Hematoxylin and eosin stain · 6 tiles from the same stomach biopsy slide · each 300 × 300 pixels.
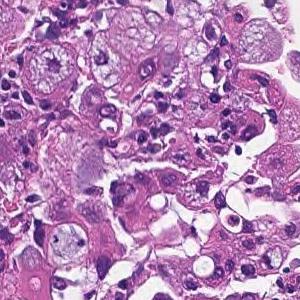
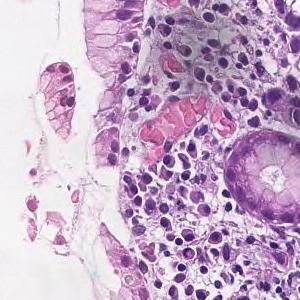
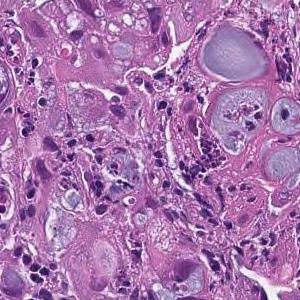
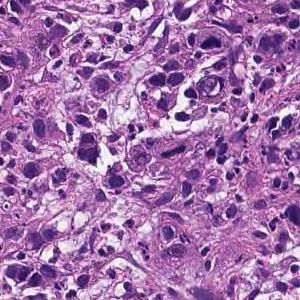
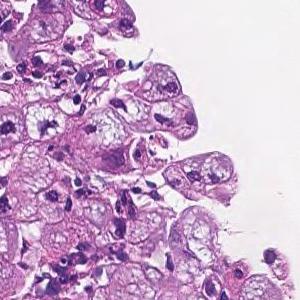
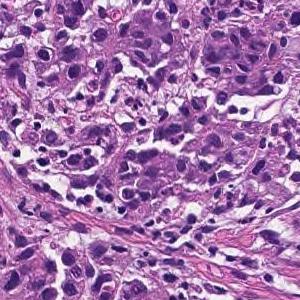
Diagnostic report for the slide these tiles come from. The report and the diagnosis cover the entire slide, so not every feature they name need be visible here, and some tissue shown may not be tumor.
The superficial epithelium shows a large sheet-like shape, and some tumor tissue infiltrates with small irregular ducts. Poorly differentiated adenocarcinoma, solid-type
Subtype: Poorly differentiated adenocarcinoma, solid type, a category of the Japanese Classification of Gastric Carcinoma; in the WHO 2019 classification it is tubular adenocarcinoma, poorly differentiated.
